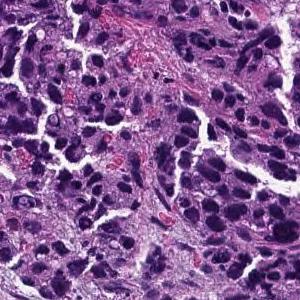
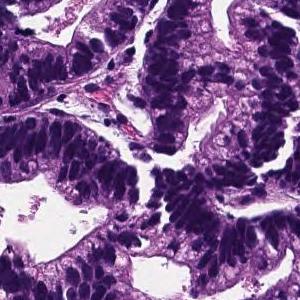
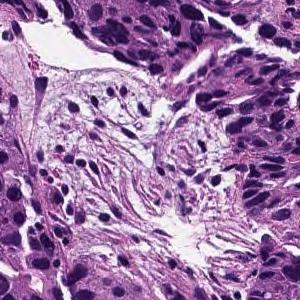
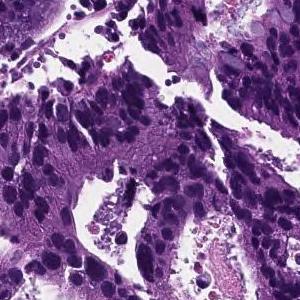
4 image tiles from a single gastric biopsy slide; scanned at ×20; H&E.
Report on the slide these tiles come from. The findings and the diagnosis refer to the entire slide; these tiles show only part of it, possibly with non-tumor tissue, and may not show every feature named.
From the superficial epithelium to the muscularis mucosae, tumor tissue consisting of medium-sized and irregular glandular ducts infiltrating is observed. Well differentiated tubular adenocarcinoma
